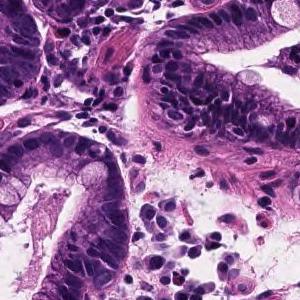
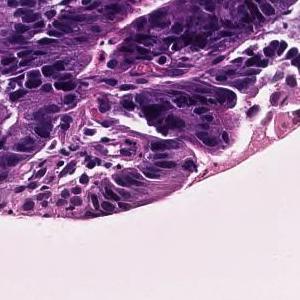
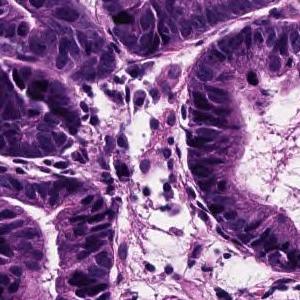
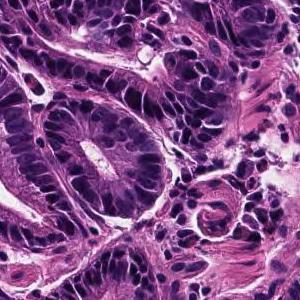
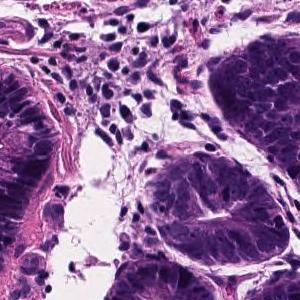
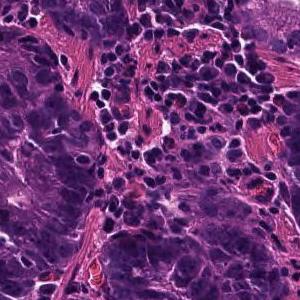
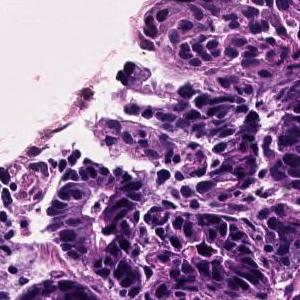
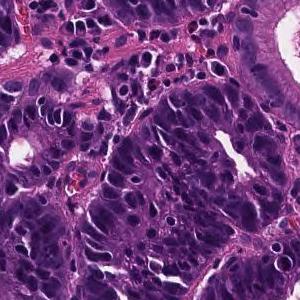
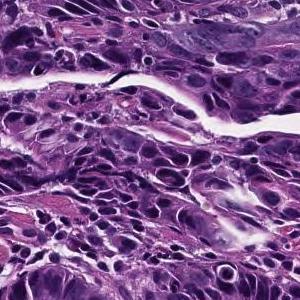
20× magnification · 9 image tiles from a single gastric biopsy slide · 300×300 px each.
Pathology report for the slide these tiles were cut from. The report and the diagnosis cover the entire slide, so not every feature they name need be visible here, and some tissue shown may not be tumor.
On the superficial epithelium, tumor tissue consisting of growth of medium-sized to large-sized, round or irregular glandular ducts is observed. Well differentiated tubular adenocarcinoma
